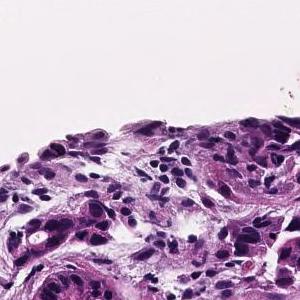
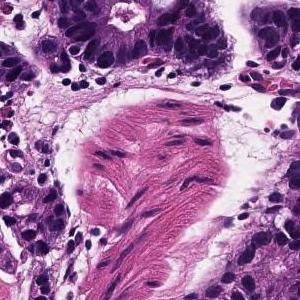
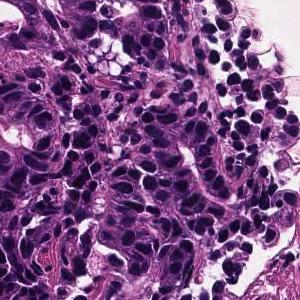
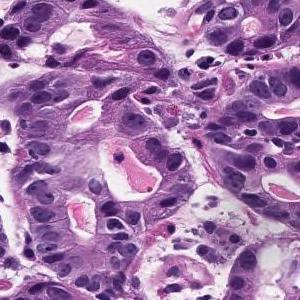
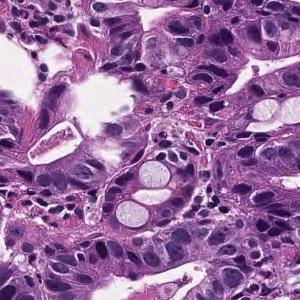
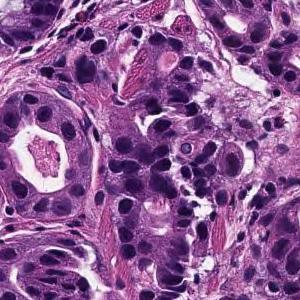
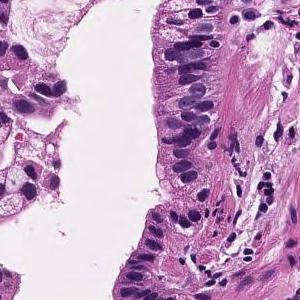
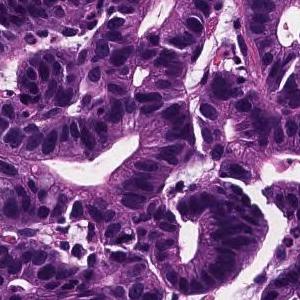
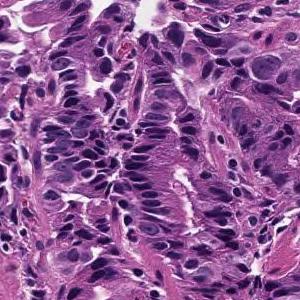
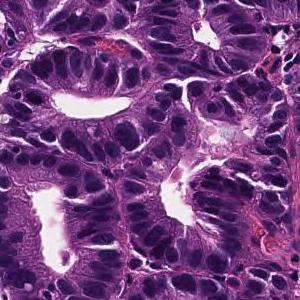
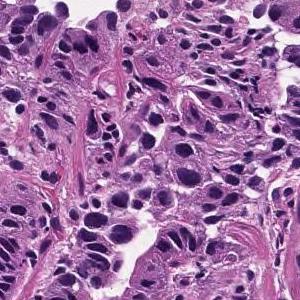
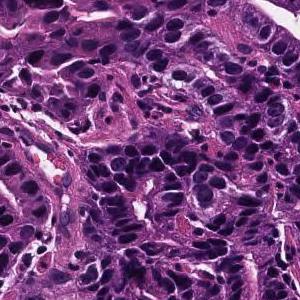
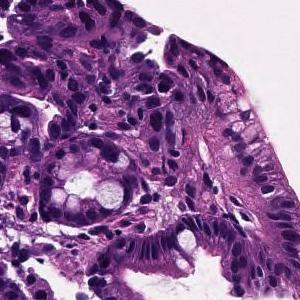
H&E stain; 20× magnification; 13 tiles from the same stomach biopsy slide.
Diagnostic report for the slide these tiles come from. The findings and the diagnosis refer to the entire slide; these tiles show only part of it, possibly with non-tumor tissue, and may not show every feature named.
In the superficial epithelium, tumor tissue that invades by forming medium-sized to small, irregular ducts is observed. Well differentiated tubular adenocarcinoma.
